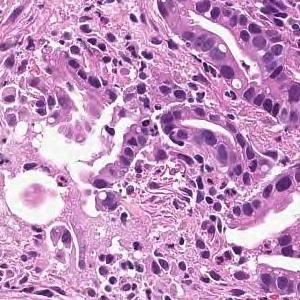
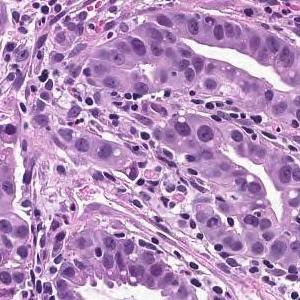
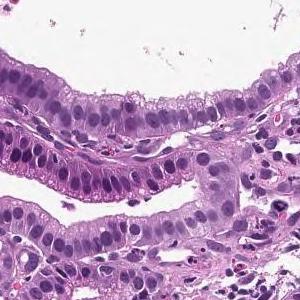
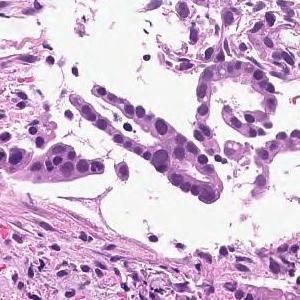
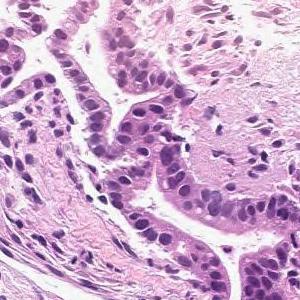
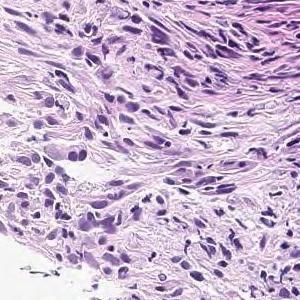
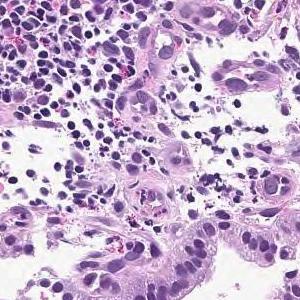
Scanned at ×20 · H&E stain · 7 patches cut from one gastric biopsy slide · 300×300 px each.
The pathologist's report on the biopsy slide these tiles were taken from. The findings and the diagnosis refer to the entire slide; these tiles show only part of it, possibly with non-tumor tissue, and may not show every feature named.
On the superficial epithelium, tumor tissue that infiltrates by forming medium-sized papillary or small irregular ducts is observed. Papillary adenocarcinoma
